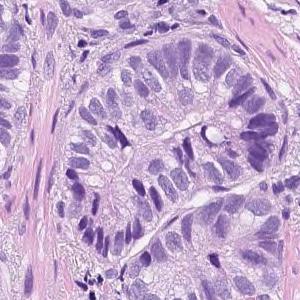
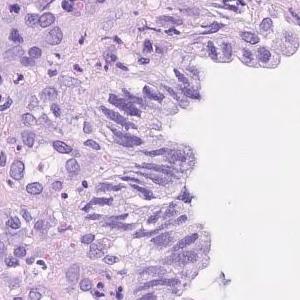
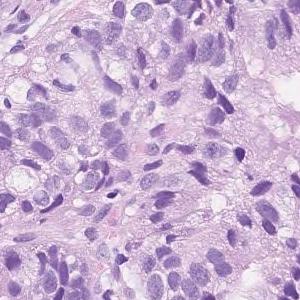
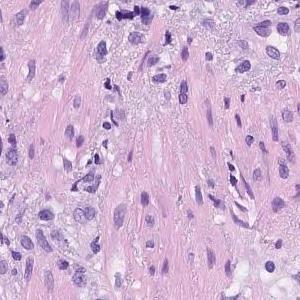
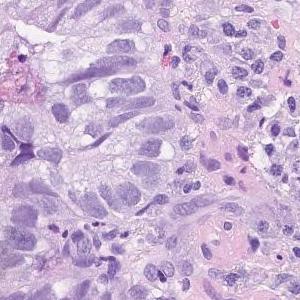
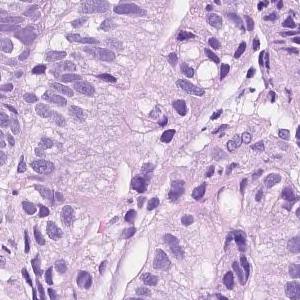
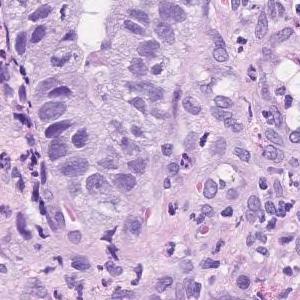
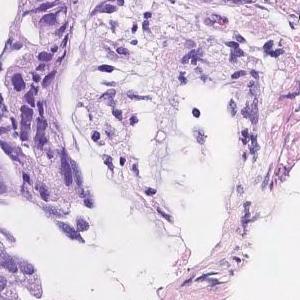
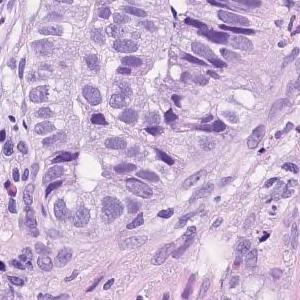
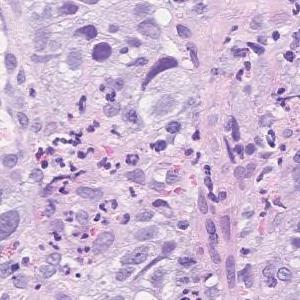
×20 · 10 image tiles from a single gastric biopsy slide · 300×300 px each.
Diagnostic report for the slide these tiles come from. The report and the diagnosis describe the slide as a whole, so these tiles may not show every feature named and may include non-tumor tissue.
Atypical l cells with atypical nuclei forming solid or diffuse vesicles or small irregular atypical ducts and growing in a complex manner. moderately differentiated tubular adenocarcinoma
